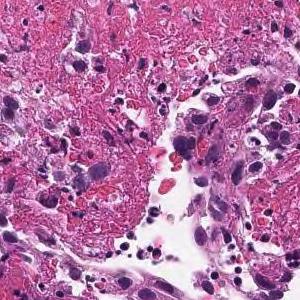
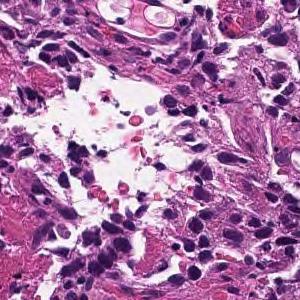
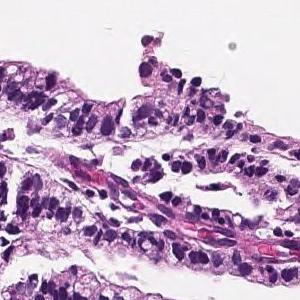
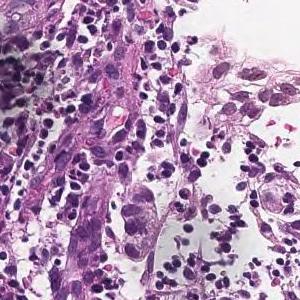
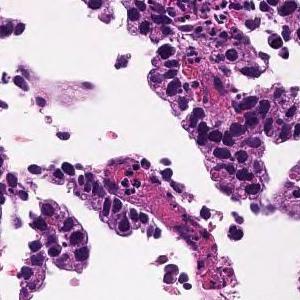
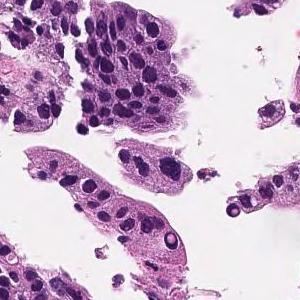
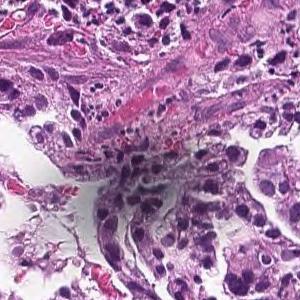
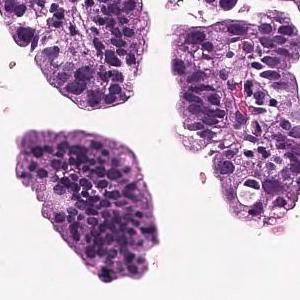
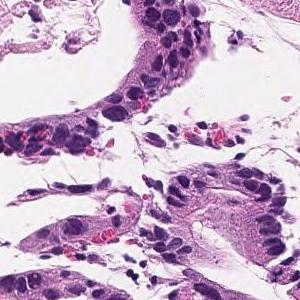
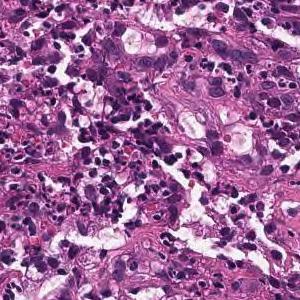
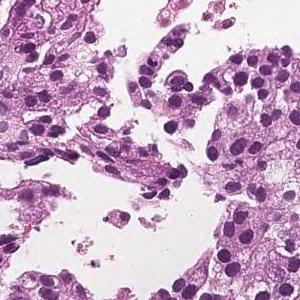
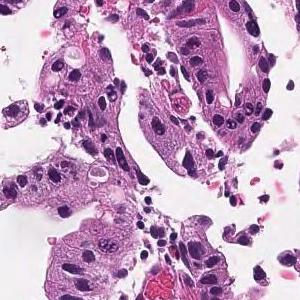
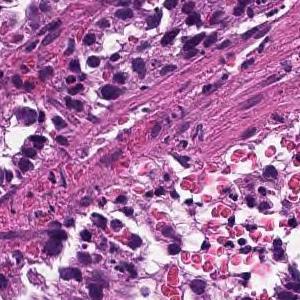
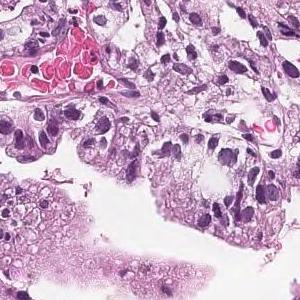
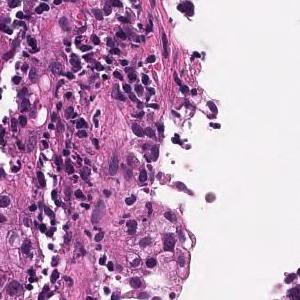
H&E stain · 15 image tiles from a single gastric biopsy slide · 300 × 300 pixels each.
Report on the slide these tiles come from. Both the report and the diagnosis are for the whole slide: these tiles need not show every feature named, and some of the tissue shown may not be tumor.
Tumor tissue consisting of medium-sized, cord-like or irregular glandular infiltration is observed in the superficial epithelium. Poorly differentiated adenocarcinoma, non-solid type or moderately differentiated tubular adenocarcinoma
Histologic type: Moderately to poorly differentiated adenocarcinoma.
The non-solid type named here is a Japanese Classification of Gastric Carcinoma category.
